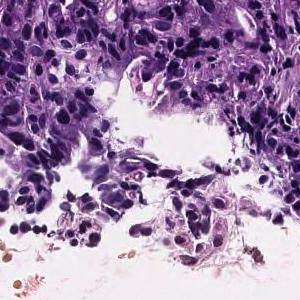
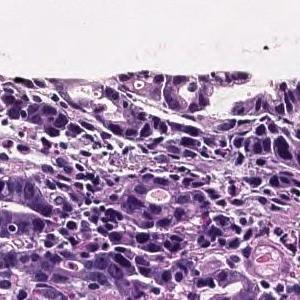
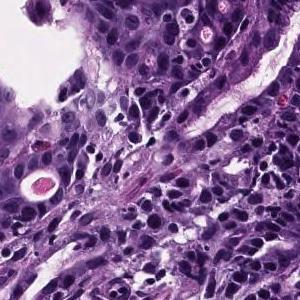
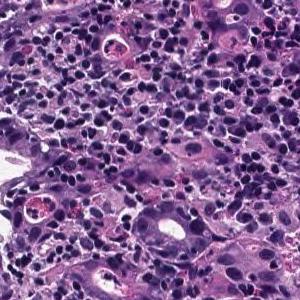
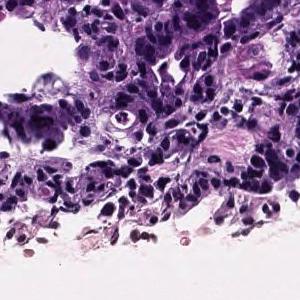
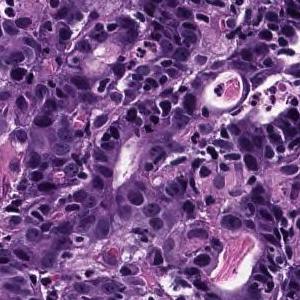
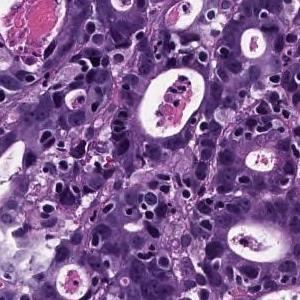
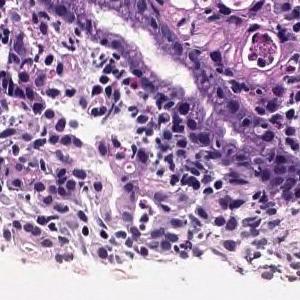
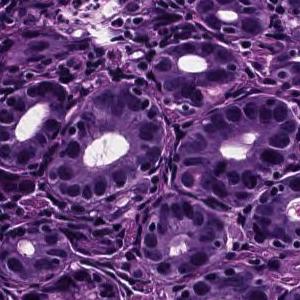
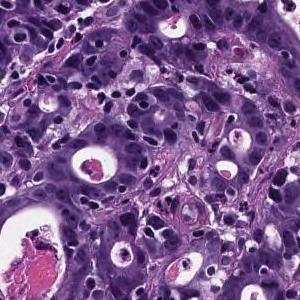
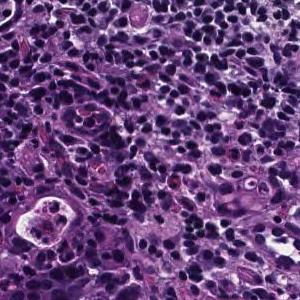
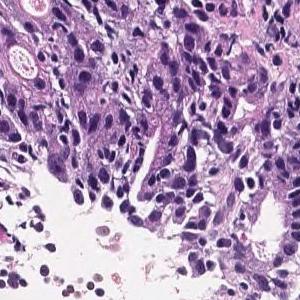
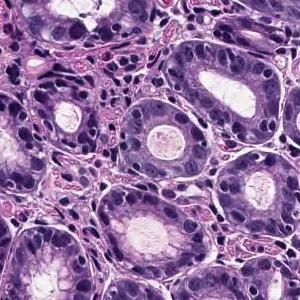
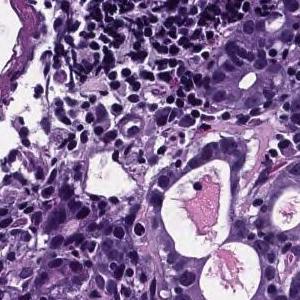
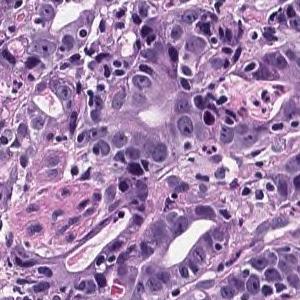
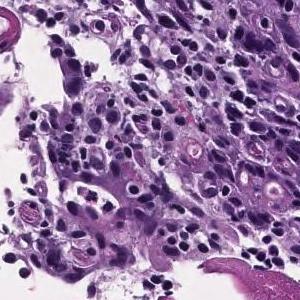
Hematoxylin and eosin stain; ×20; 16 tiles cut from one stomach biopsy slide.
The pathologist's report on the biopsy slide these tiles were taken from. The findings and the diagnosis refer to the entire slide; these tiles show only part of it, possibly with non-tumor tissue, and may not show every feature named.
In the superficial epithelium, tumor tissue that invades by forming medium-sized to small, irregular ducts is observed. moderately differentiated tubular adenocarcinoma.
